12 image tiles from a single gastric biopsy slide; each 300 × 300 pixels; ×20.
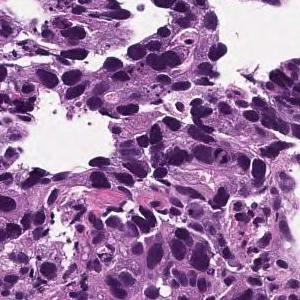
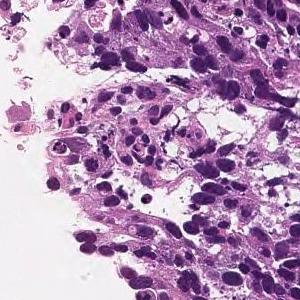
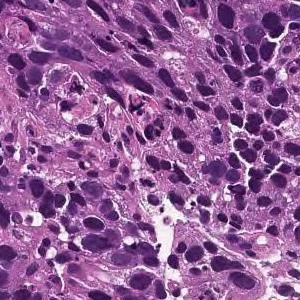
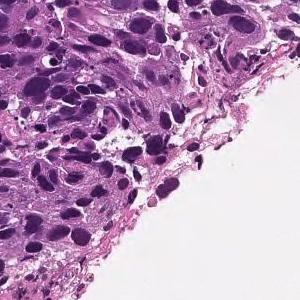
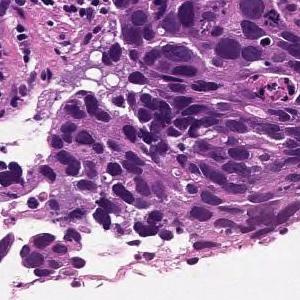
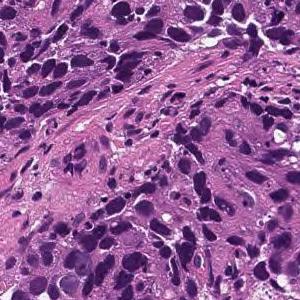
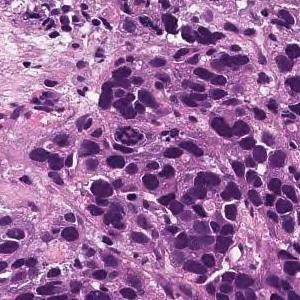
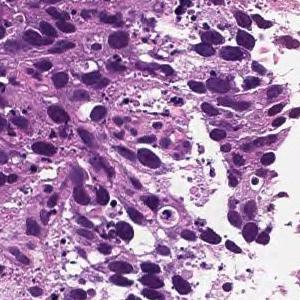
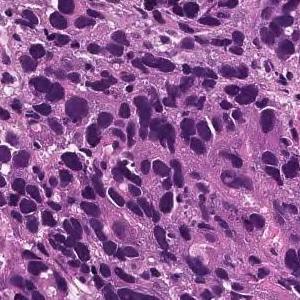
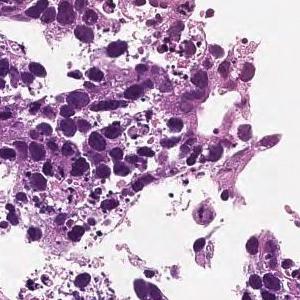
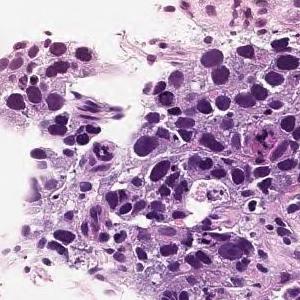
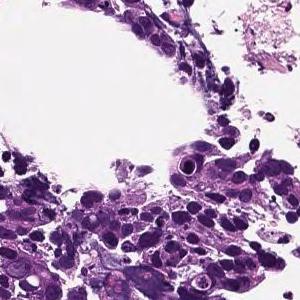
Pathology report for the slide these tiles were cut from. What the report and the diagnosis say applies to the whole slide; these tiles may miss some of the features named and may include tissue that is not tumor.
Tumor cells are medium-sized polygonal with no extracellular mucus production or duct formation. Poorly differentiated adenocarcinoma, solid-type
Subtype: Poorly differentiated adenocarcinoma, solid type. This name comes from the Japanese Classification of Gastric Carcinoma; the WHO 2019 classification calls it tubular adenocarcinoma, poorly differentiated.
